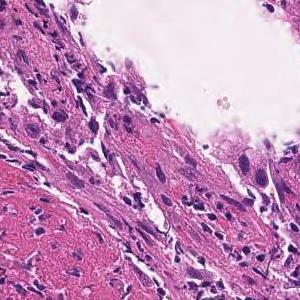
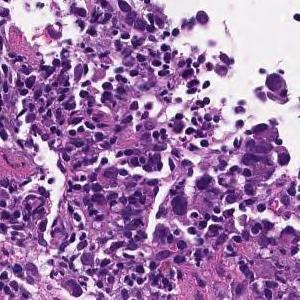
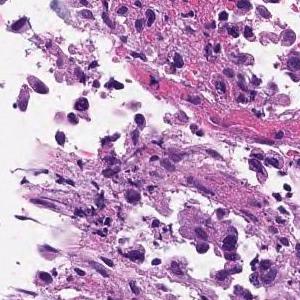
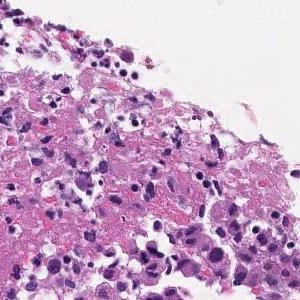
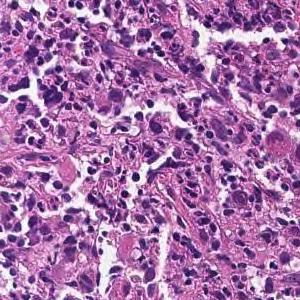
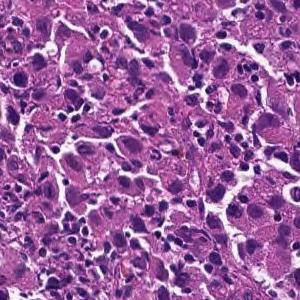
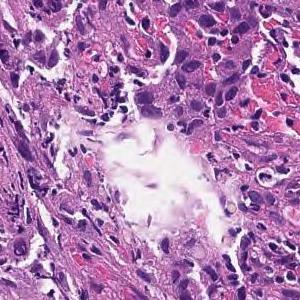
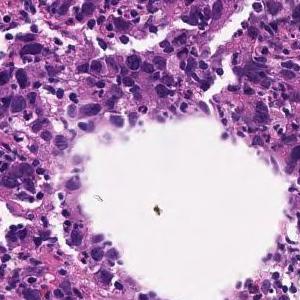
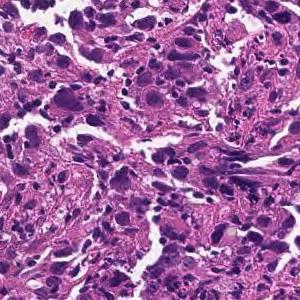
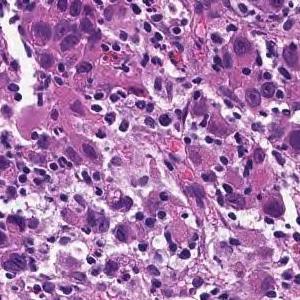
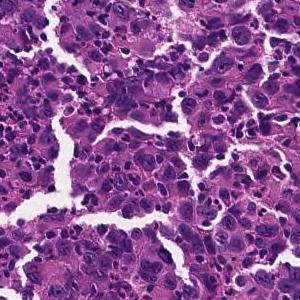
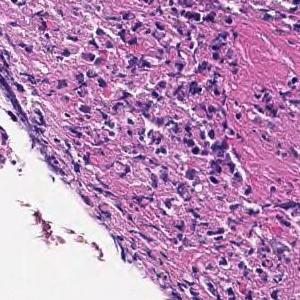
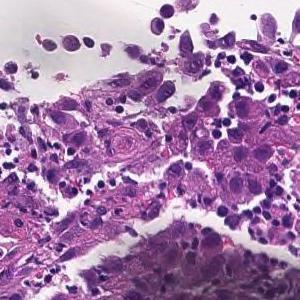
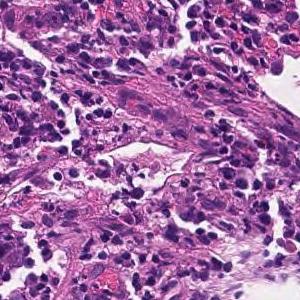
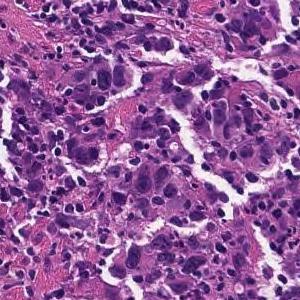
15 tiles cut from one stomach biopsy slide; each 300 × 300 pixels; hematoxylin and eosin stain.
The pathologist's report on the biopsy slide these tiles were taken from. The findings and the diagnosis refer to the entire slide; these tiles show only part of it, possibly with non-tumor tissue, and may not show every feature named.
The superficial epithelium shows a large sheet-like shape, and some tumor tissue infiltrates with small irregular ducts. Poorly differentiated adenocarcinoma, solid-type (poorly differentiated adenocarcinoma, solid type)
Histological subtype: Poorly differentiated adenocarcinoma, solid type, a category of the Japanese Classification of Gastric Carcinoma; in the WHO 2019 classification it is tubular adenocarcinoma, poorly differentiated.
